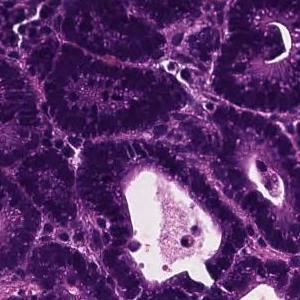
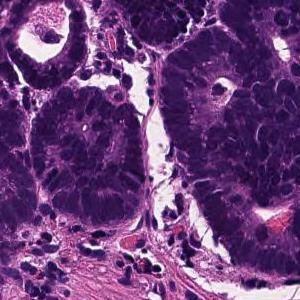
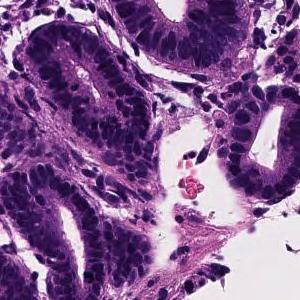
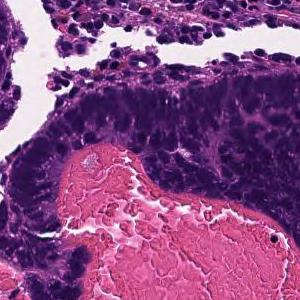
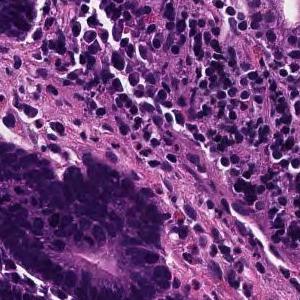
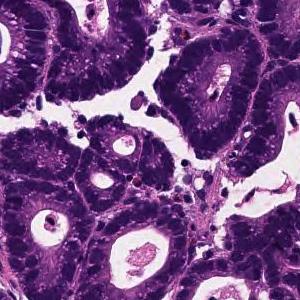
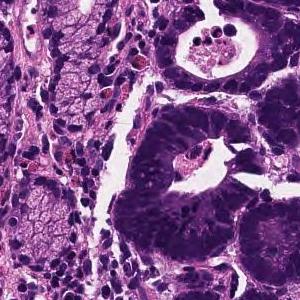
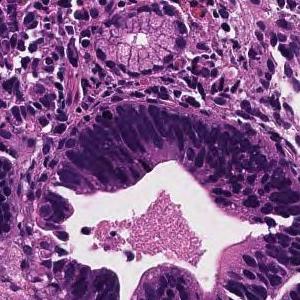
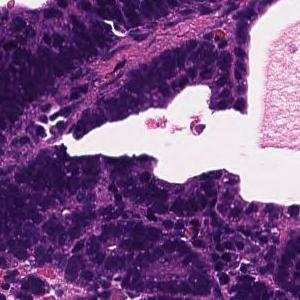
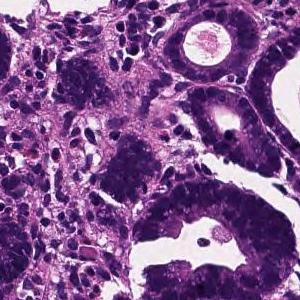
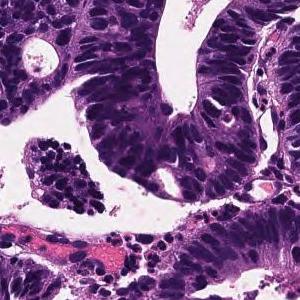
11 image tiles from a single gastric biopsy slide, 300×300 px each, hematoxylin and eosin stain.
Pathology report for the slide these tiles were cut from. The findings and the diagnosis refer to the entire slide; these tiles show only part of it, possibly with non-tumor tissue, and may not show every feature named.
On the superficial epithelium, tumor tissue consisting of medium-sized and irregular glandular ducts partially fused and infiltrated is observed. Well to moderately differentiated tubular adenocarcinoma (well differentiated tubular adenocarcinoma, moderately differentiated tubular adenocarcinoma)
Subtype: Well to moderately differentiated tubular adenocarcinoma.
